7 patches cut from one gastric biopsy slide; each 300 × 300 pixels.
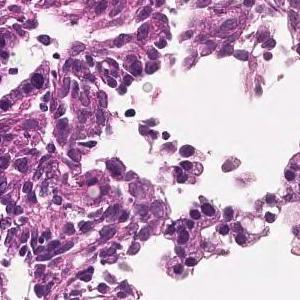
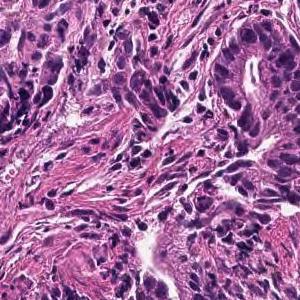
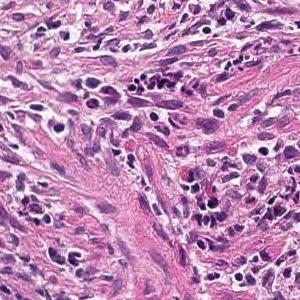
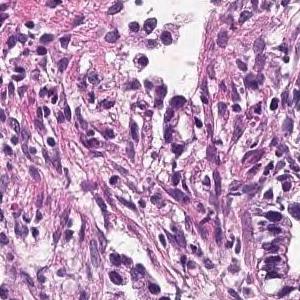
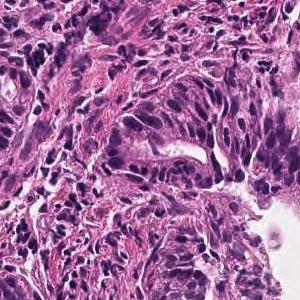
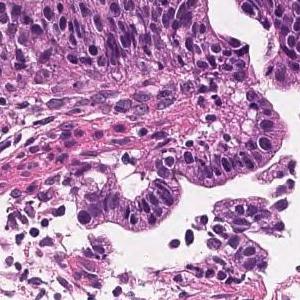
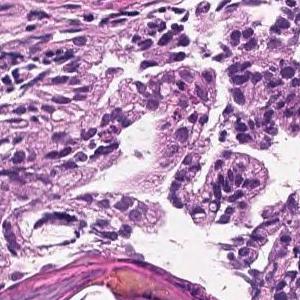
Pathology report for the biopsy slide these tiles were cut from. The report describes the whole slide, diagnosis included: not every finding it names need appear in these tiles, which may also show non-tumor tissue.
Tumor cells are large, highly columnar, large club-shaped nuclei, and are associated with chromatin aggregation. Papillary adenocarcinoma.
